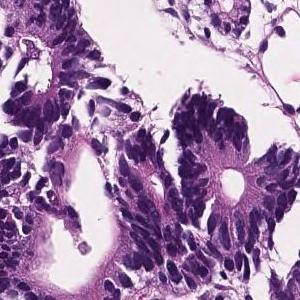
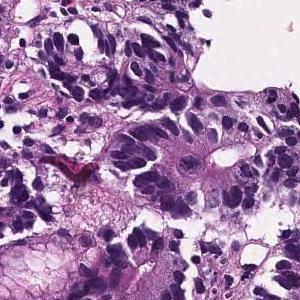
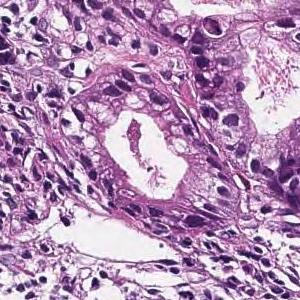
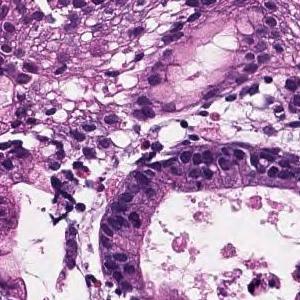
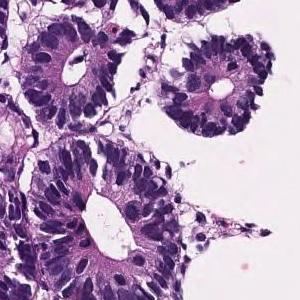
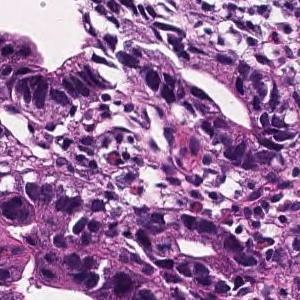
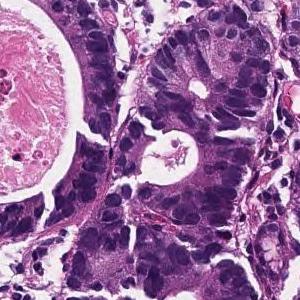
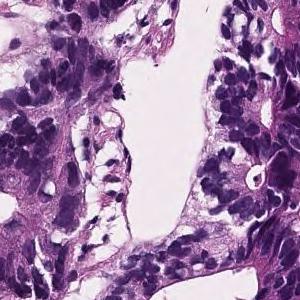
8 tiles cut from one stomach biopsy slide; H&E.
Pathology report for the biopsy slide these tiles were cut from. The findings and the diagnosis refer to the entire slide; these tiles show only part of it, possibly with non-tumor tissue, and may not show every feature named.
On the superficial epithelium, tumor tissue consisting of large, irregular glandular ducts partially fused and infiltrated is observed. Well to moderately differentiated tubular adenocarcinoma (well differentiated tubular adenocarcinoma, moderately differentiated tubular adenocarcinoma)
Histological subtype: Well to moderately differentiated tubular adenocarcinoma.
